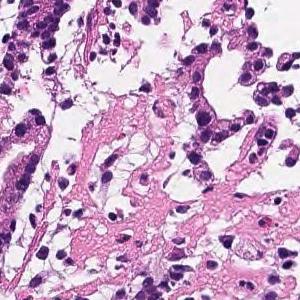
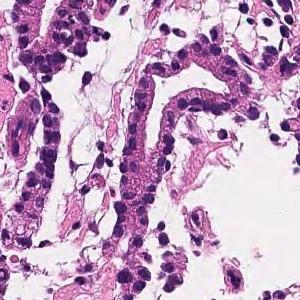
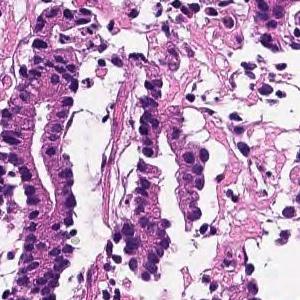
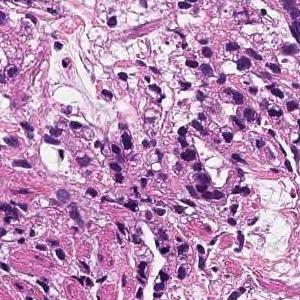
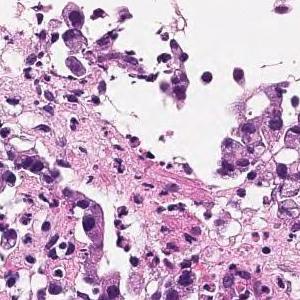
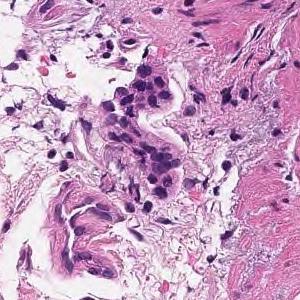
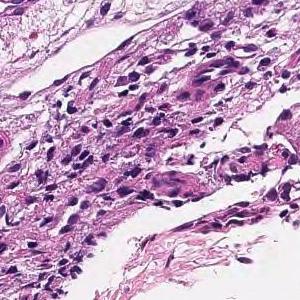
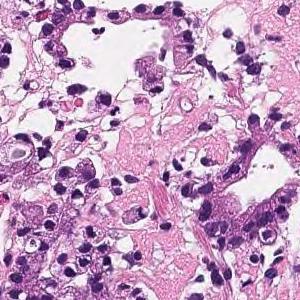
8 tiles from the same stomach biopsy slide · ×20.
Report on the slide these tiles come from. The report describes the whole slide, diagnosis included: not every finding it names need appear in these tiles, which may also show non-tumor tissue.
In the superficial epithelium, tumor tissue that invades by forming medium-sized to small, irregular ducts is observed. moderately differentiated tubular adenocarcinoma.
